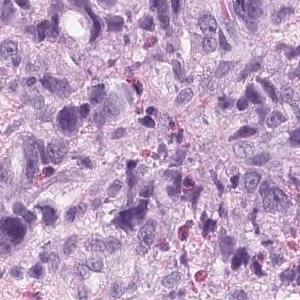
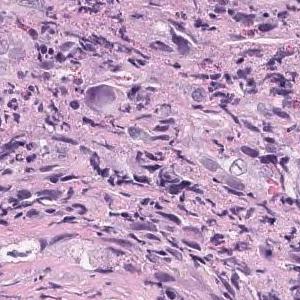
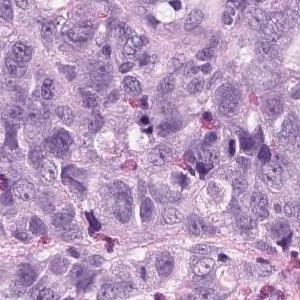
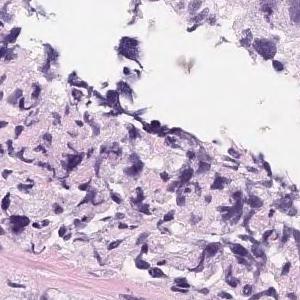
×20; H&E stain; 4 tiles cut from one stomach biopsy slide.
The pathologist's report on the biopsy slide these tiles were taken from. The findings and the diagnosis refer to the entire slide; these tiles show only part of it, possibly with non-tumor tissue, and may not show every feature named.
Tumor tissue that infiltrates and proliferates by forming small glandular cavities in the superficial layer to the submucosa or forming a mass is observed. moderately differentiated tubular adenocarcinoma
